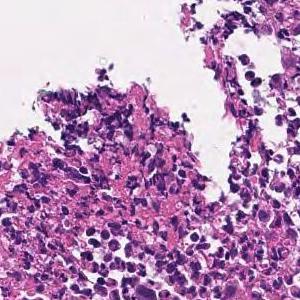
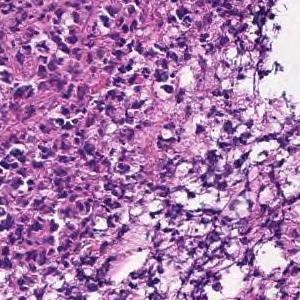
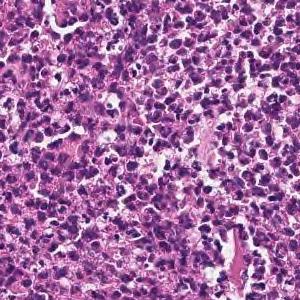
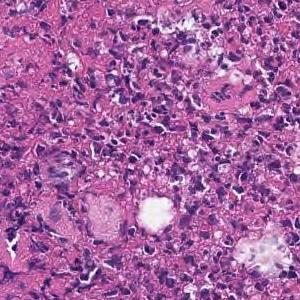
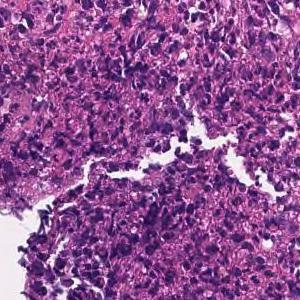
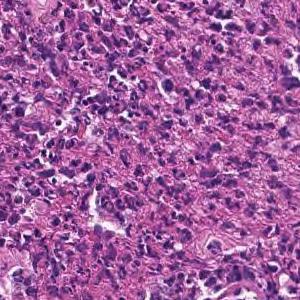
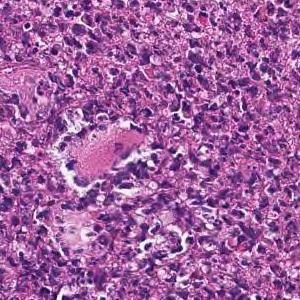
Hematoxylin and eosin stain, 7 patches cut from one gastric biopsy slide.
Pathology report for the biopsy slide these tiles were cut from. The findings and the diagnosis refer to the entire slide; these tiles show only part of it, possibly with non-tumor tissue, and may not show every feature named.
In the superficial epithelium, tumor tissue infiltrated by partial fusion of medium-sized to small, irregular glandular ducts is observed. moderately differentiated tubular adenocarcinoma
